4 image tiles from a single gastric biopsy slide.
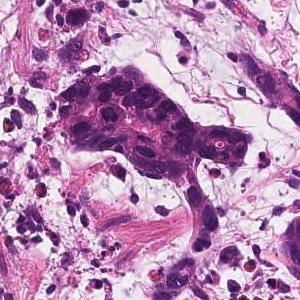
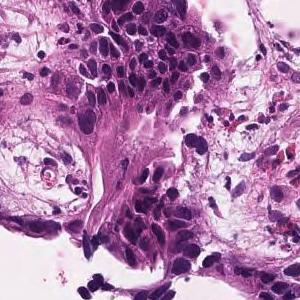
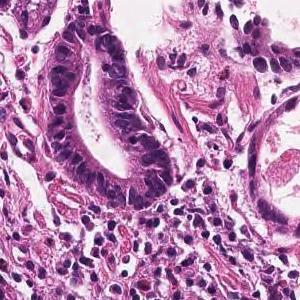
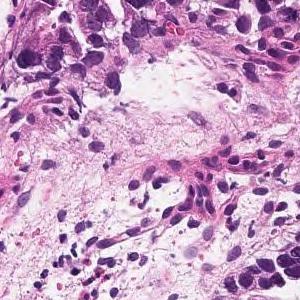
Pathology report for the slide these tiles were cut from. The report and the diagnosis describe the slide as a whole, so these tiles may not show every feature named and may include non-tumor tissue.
In the superficial epithelium, tumor tissue that invades by forming medium-sized to small, irregular ducts is observed. Well differentiated tubular adenocarcinoma.
